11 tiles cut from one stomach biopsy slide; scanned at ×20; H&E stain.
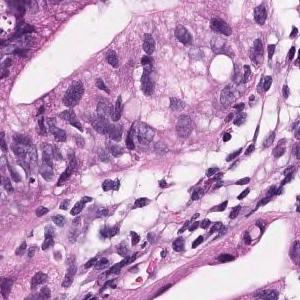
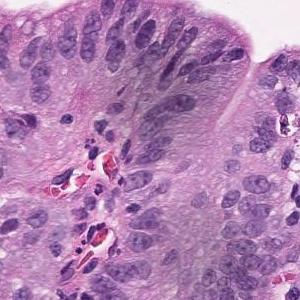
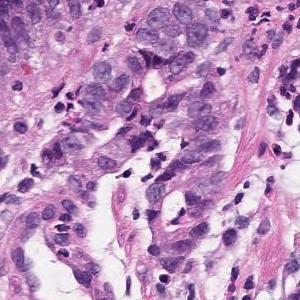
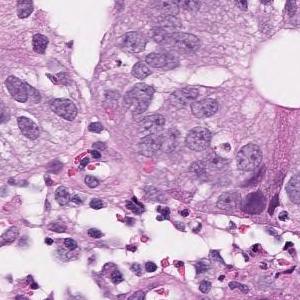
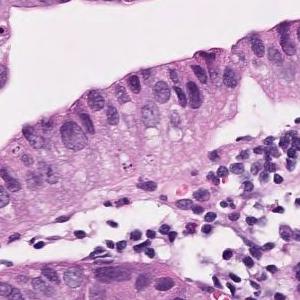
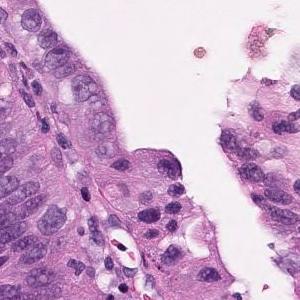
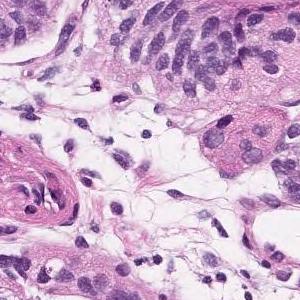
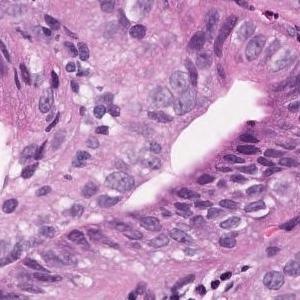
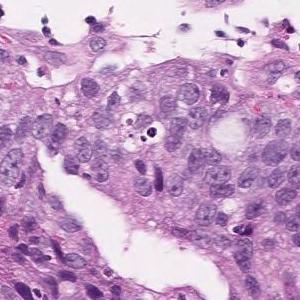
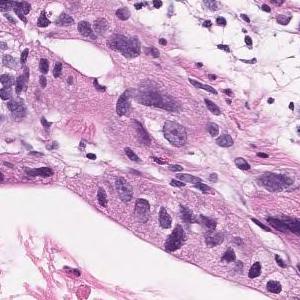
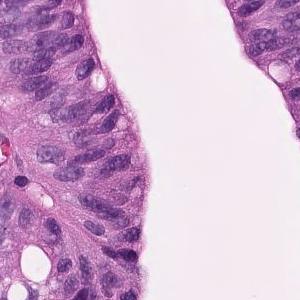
Diagnostic report for the slide these tiles come from. The findings and the diagnosis refer to the entire slide; these tiles show only part of it, possibly with non-tumor tissue, and may not show every feature named.
On the superficial epithelium, tumor tissue consisting of medium to small irregular tubules partially fused and proliferated is observed. Well differentiated tubular adenocarcinoma
